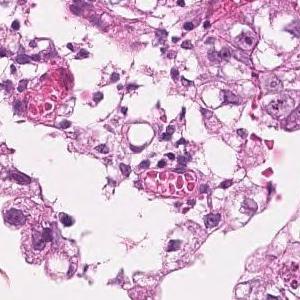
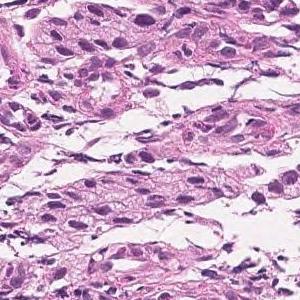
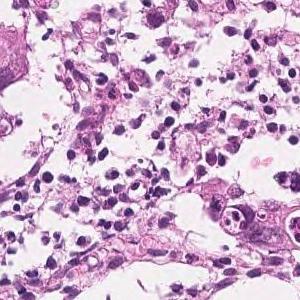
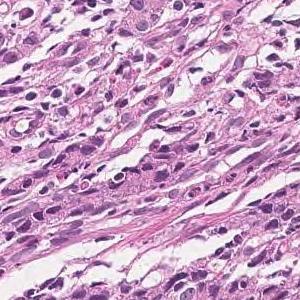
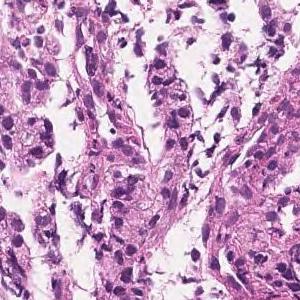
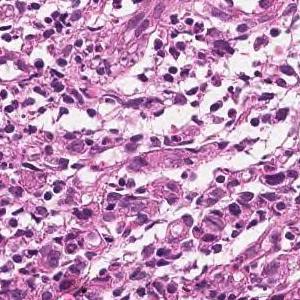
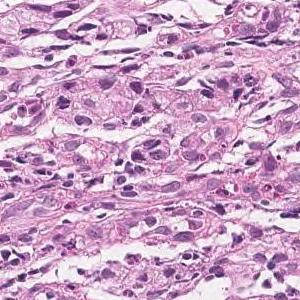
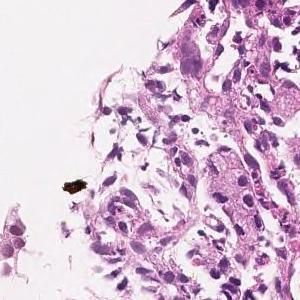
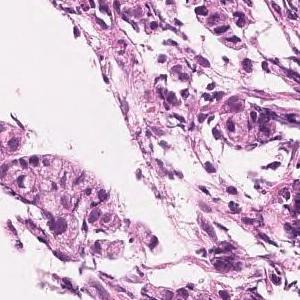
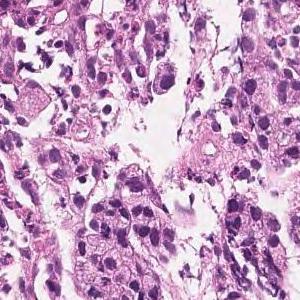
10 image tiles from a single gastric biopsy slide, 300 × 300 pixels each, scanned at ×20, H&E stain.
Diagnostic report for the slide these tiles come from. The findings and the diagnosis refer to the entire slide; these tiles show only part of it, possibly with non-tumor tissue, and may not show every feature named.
In the superficial epithelium, medium to small, irregular glandular ducts are formed, and in some parts, the glandular ducts are fused, and in other parts, small cord-like infiltrating tumor tissue is observed. Moderately to poorly differentiated adenocarcinoma.
